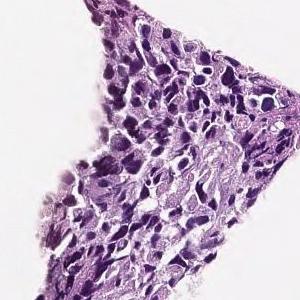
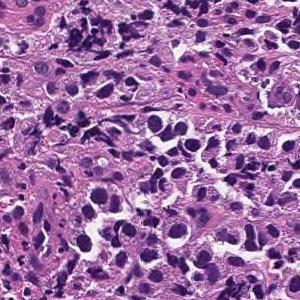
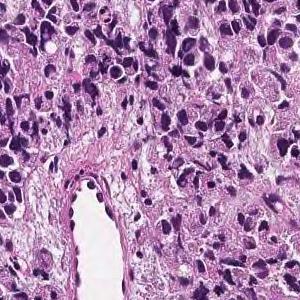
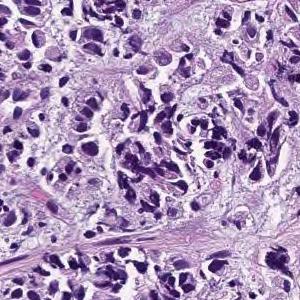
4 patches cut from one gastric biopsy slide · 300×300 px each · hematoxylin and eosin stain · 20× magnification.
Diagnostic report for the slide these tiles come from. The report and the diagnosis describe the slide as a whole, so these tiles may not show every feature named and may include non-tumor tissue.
The lamina propria shows small cord-like tumor tissue that infiltrates with fibrosis and marked chronic inflammatory cell infiltration. Poorly differentiated adenocarcinoma, non-solid type
"Non-solid type" is a category of the Japanese Classification of Gastric Carcinoma.
